9 tiles cut from one stomach biopsy slide; 300×300 px each; H&E.
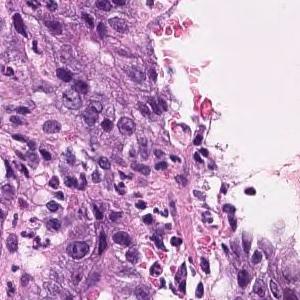
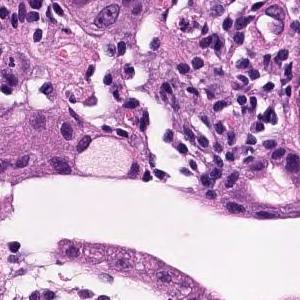
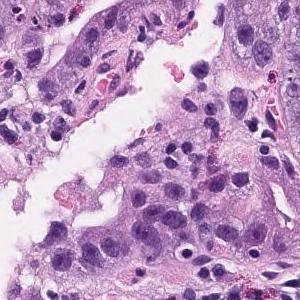
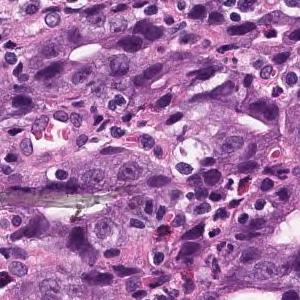
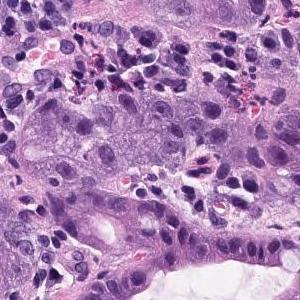
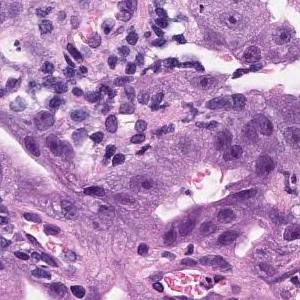
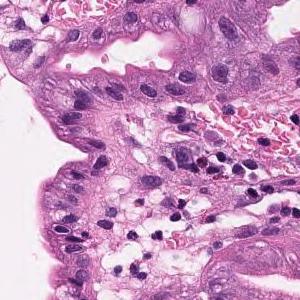
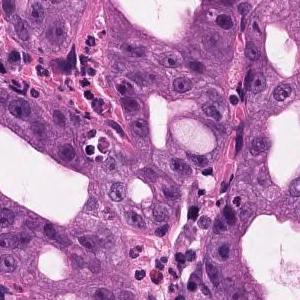
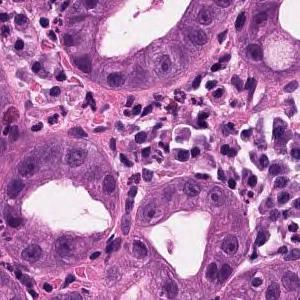
The pathologist's report on the biopsy slide these tiles were taken from. The report describes the whole slide, diagnosis included: not every finding it names need appear in these tiles, which may also show non-tumor tissue.
In the superficial epithelium, tumor tissue that invades by forming medium-sized to small, irregular ducts is observed. Well to moderately differentiated adenocarcinoma (well differentiated tubular adenocarcinoma, moderately differentiated tubular adenocarcinoma).
Classified as well to moderately differentiated tubular adenocarcinoma.
